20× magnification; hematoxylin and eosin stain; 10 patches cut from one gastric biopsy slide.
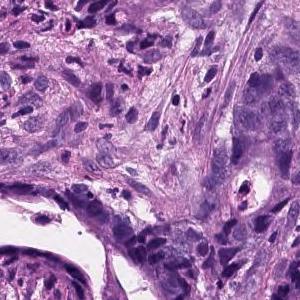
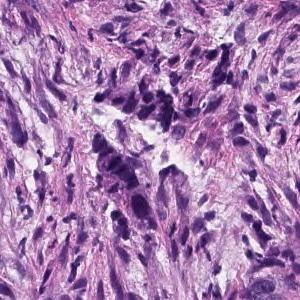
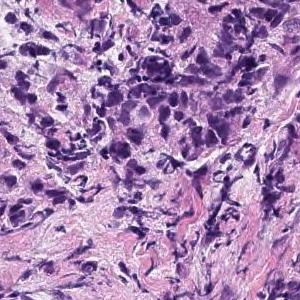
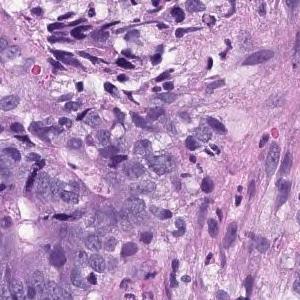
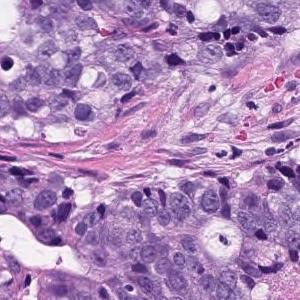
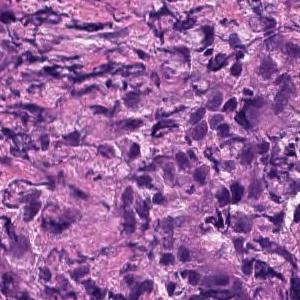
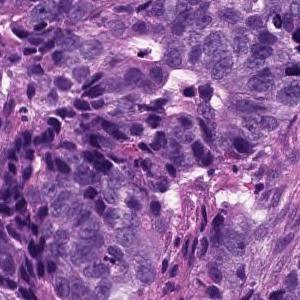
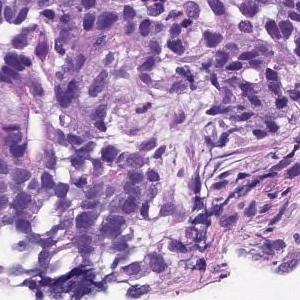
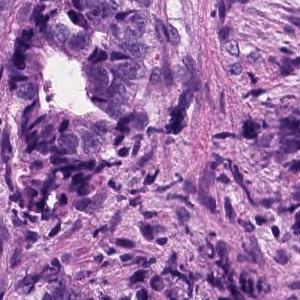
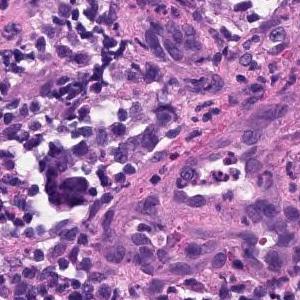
Diagnostic report for the slide these tiles come from. The findings and the diagnosis refer to the entire slide; these tiles show only part of it, possibly with non-tumor tissue, and may not show every feature named.
Medium to small, irregular glandular ducts are formed in the superficial epithelium, and in some cases, the glandular ducts are fused to show solid alveolar lesions and infiltrating tumor tissue is observed. Moderately to poorly differentiated adenocarcinoma.
